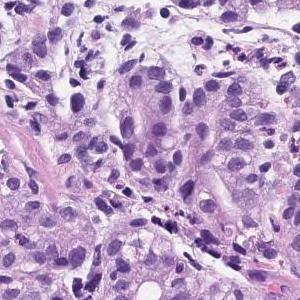
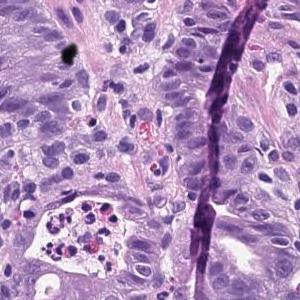
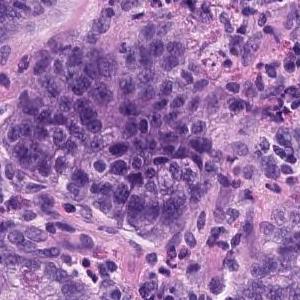
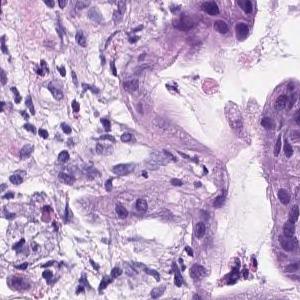
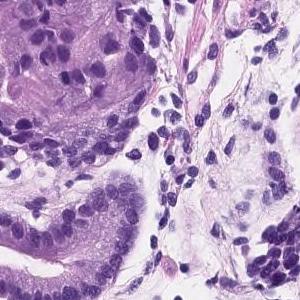
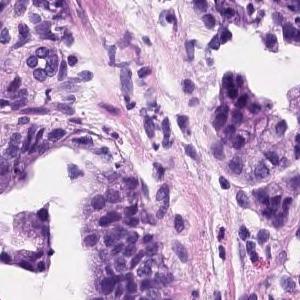
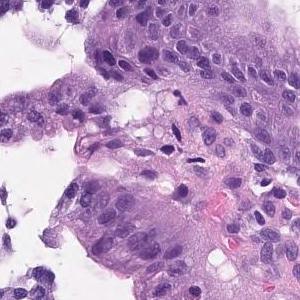
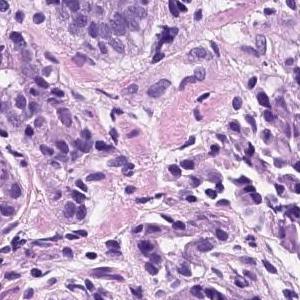
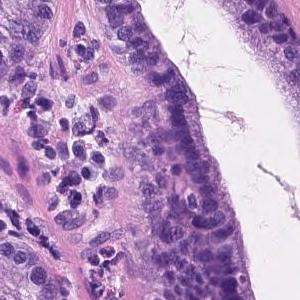
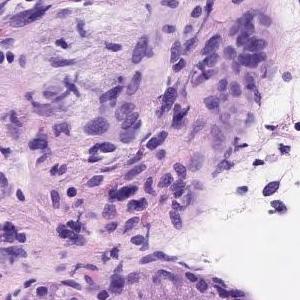
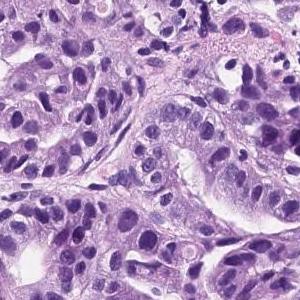
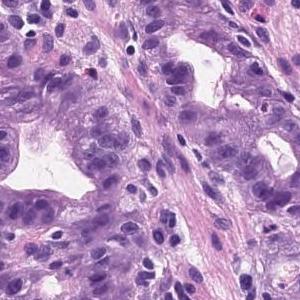
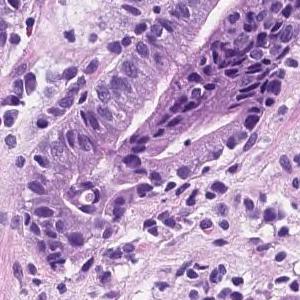
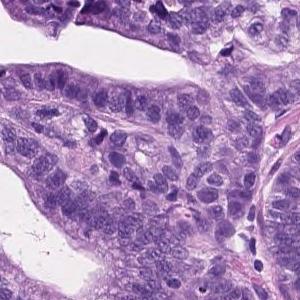
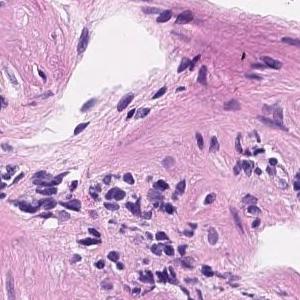
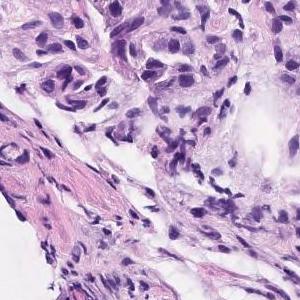
16 tiles from the same stomach biopsy slide; each 300 × 300 pixels.
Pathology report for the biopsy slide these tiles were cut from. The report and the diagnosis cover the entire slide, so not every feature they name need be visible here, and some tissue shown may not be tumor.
Tumor tissue consisting of medium-sized and irregular ducts is observed infiltrating in the superficial epithelium. Tumor cells are highly columnar, with nuclei aligned basolaterally and polarized. Well differentiated tubular adenocarcinoma.
